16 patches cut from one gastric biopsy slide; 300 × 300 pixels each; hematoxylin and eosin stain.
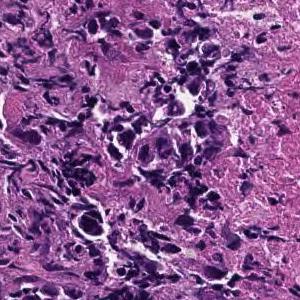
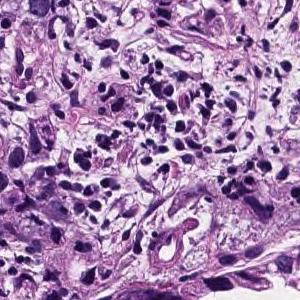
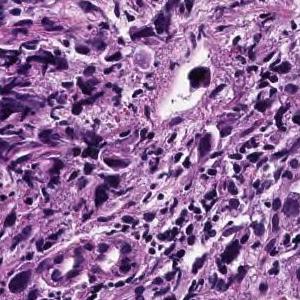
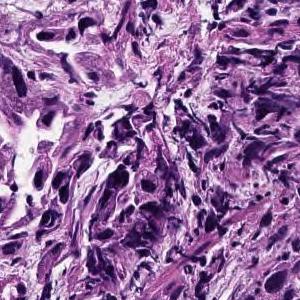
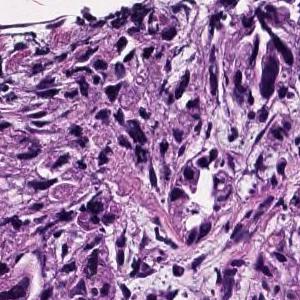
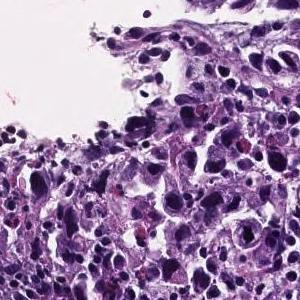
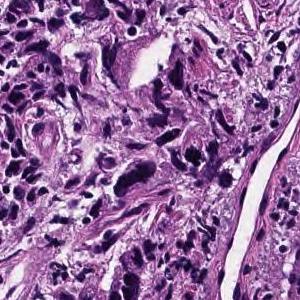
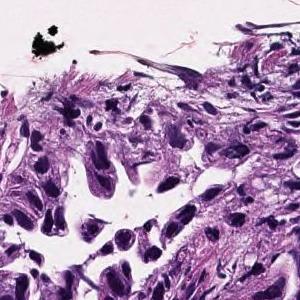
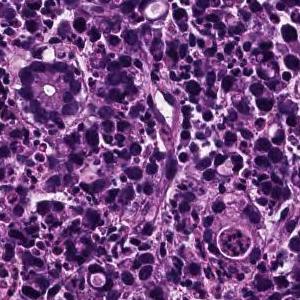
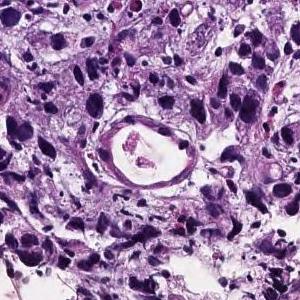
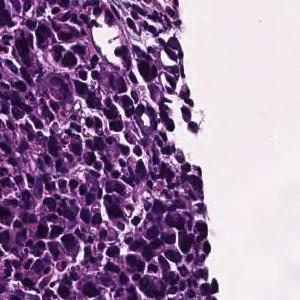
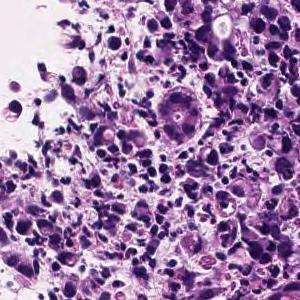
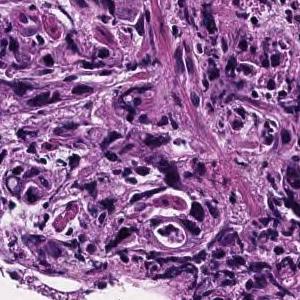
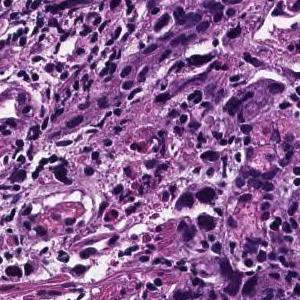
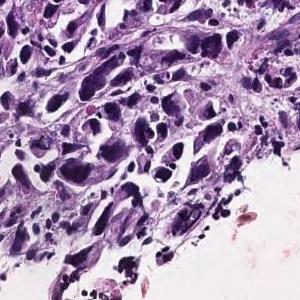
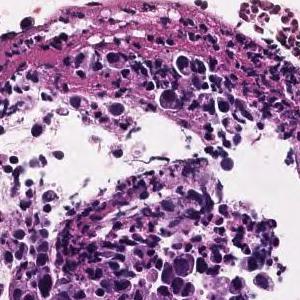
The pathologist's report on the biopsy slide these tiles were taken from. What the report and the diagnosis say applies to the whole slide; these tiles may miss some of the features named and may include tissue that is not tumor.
The superficial epithelium shows a large sheet-like shape, and some tumor tissue infiltrates with small irregular ducts. Poorly differentiated adenocarcinoma, solid-type
Subtype: Poorly differentiated adenocarcinoma, solid type, a category of the Japanese Classification of Gastric Carcinoma; in the WHO 2019 classification it is tubular adenocarcinoma, poorly differentiated.
